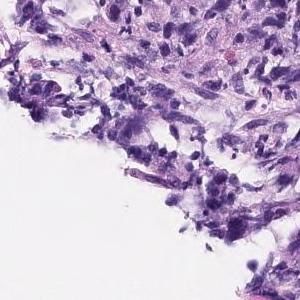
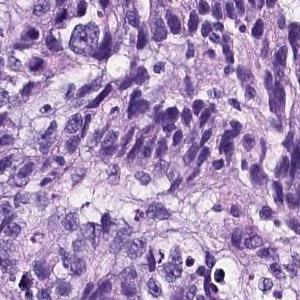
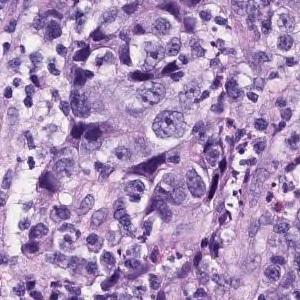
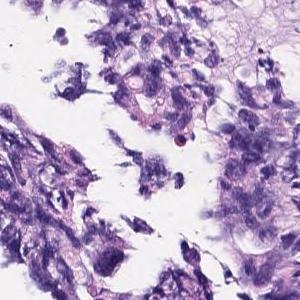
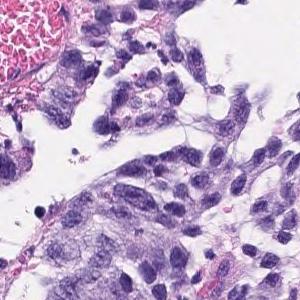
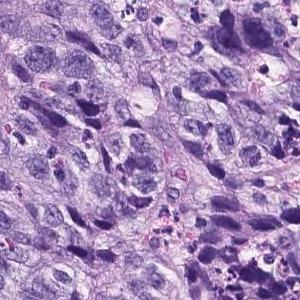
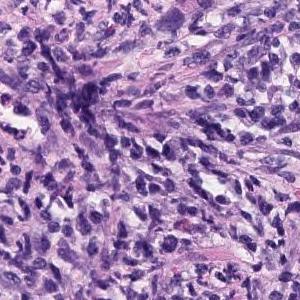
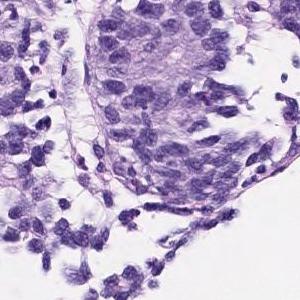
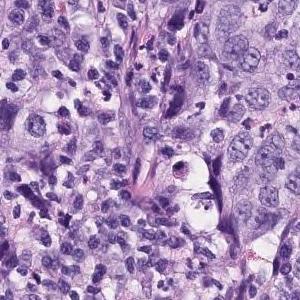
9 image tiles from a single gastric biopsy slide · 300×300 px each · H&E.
Report on the slide these tiles come from. What the report and the diagnosis say applies to the whole slide; these tiles may miss some of the features named and may include tissue that is not tumor.
The superficial epithelium shows a large sheet-like shape, and some tumor tissue infiltrates with small irregular ducts. Poorly differentiated adenocarcinoma, solid-type
Subtype: Poorly differentiated adenocarcinoma, solid type, a category of the Japanese Classification of Gastric Carcinoma; in the WHO 2019 classification it is tubular adenocarcinoma, poorly differentiated.
